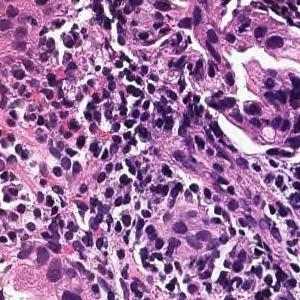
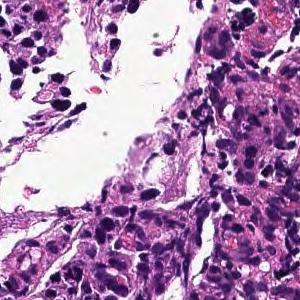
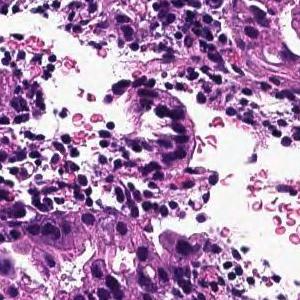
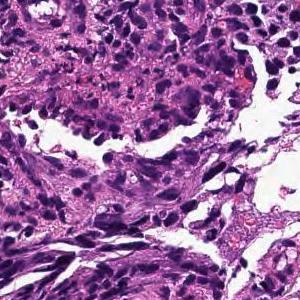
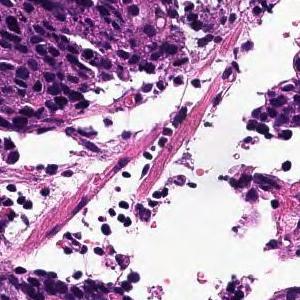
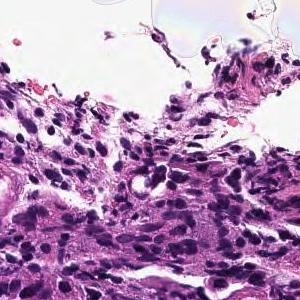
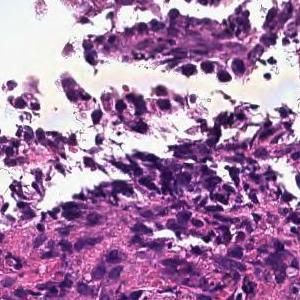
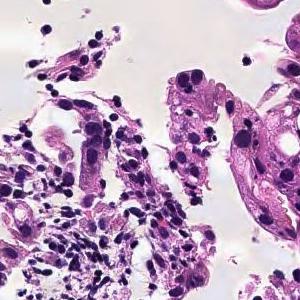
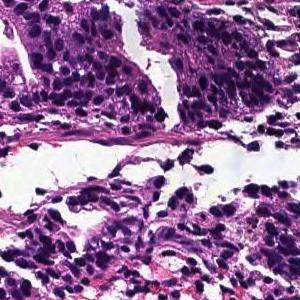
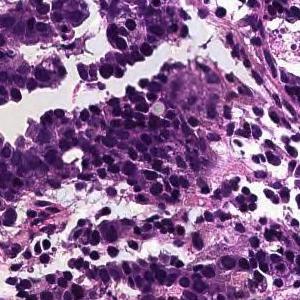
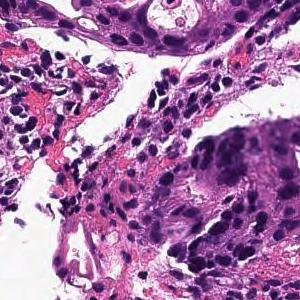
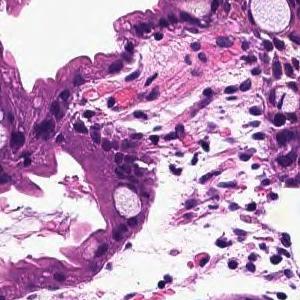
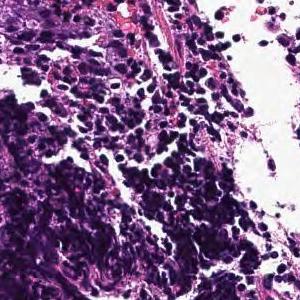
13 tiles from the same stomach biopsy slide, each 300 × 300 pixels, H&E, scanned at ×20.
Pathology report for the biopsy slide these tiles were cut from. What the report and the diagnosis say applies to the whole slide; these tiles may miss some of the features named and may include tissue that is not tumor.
In the superficial epithelium, tumor tissue that invades by forming medium-sized to small, irregular ducts is observed. moderately differentiated tubular adenocarcinoma.
